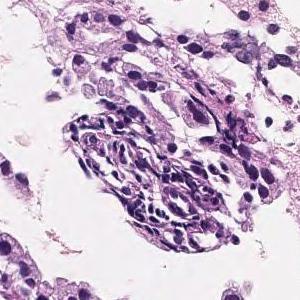
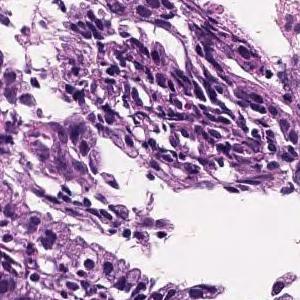
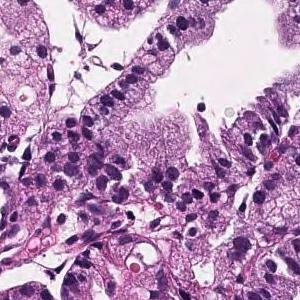
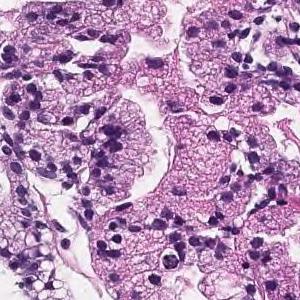
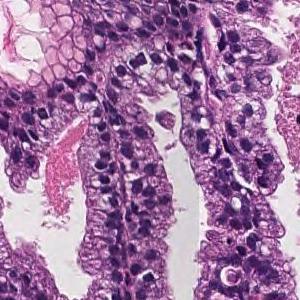
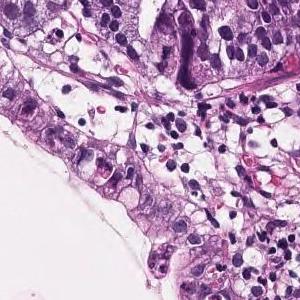
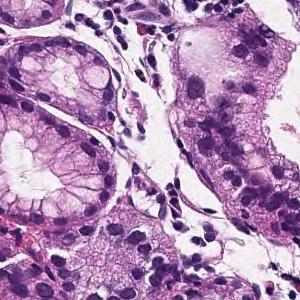
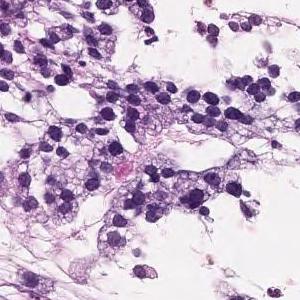
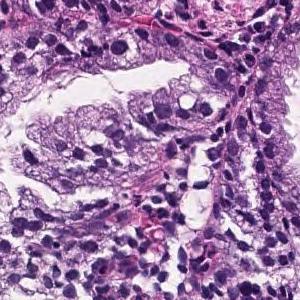
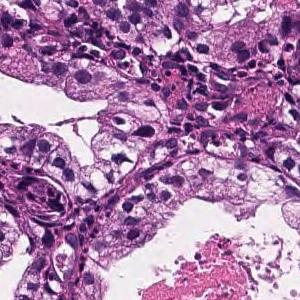
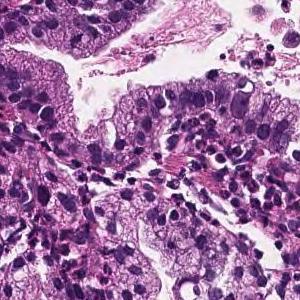
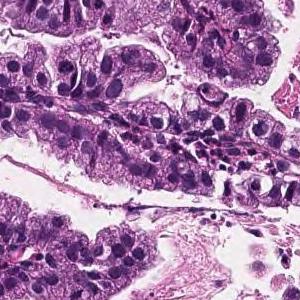
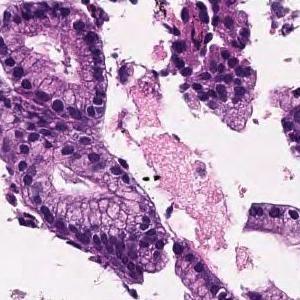
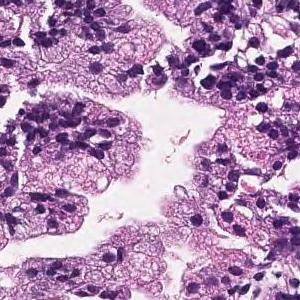
Hematoxylin and eosin stain, 14 tiles from the same stomach biopsy slide.
The pathologist's report on the biopsy slide these tiles were taken from. The report and the diagnosis describe the slide as a whole, so these tiles may not show every feature named and may include non-tumor tissue.
In the superficial epithelium, tumor tissue that infiltrates by forming medium-sized papillary or small irregular ducts is observed. Papillary adenocarcinoma
